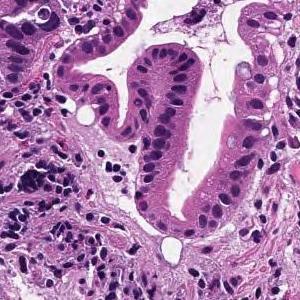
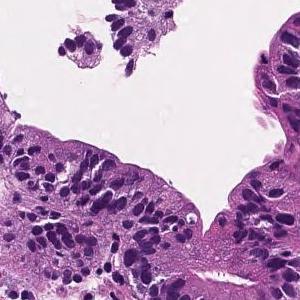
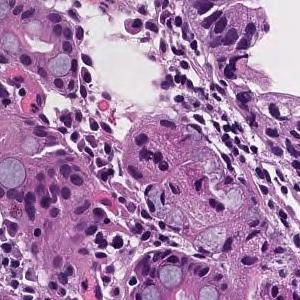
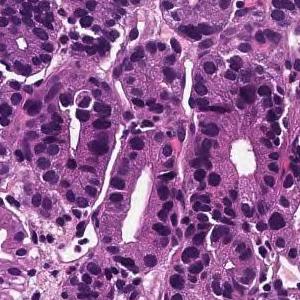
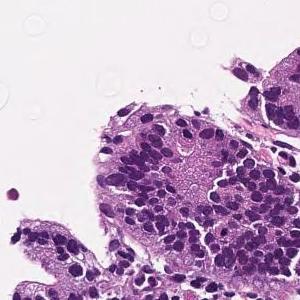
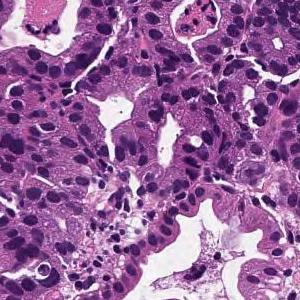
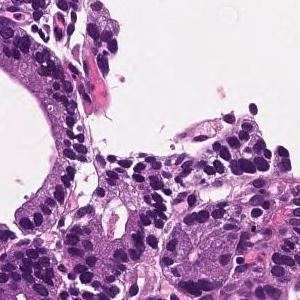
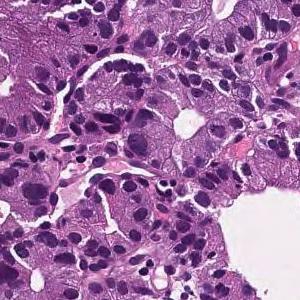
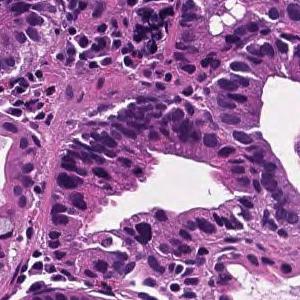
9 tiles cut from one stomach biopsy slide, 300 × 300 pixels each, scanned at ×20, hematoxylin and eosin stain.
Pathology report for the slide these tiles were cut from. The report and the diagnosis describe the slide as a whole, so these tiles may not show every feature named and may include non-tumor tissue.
From the superficial epithelium to the muscularis mucosae, tumor tissue consisting of medium-sized and irregular glandular ducts infiltrating is observed. Well differentiated tubular adenocarcinoma
